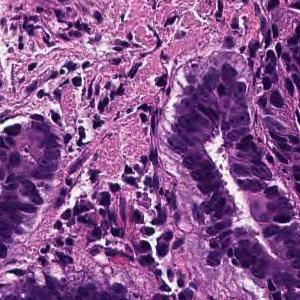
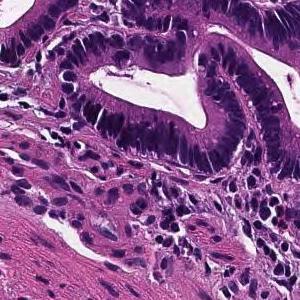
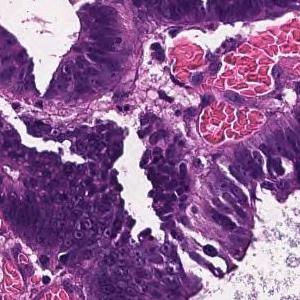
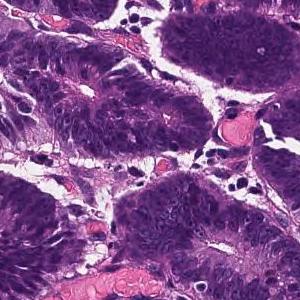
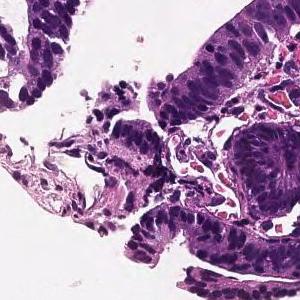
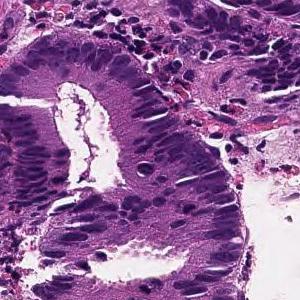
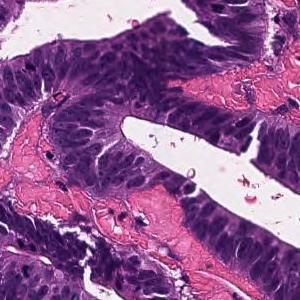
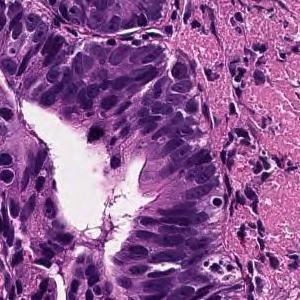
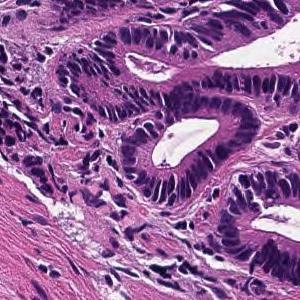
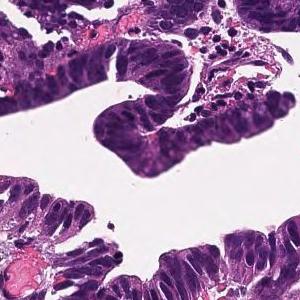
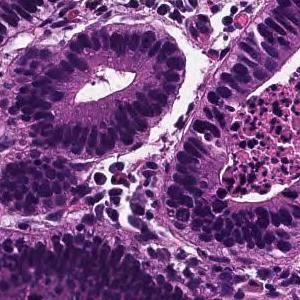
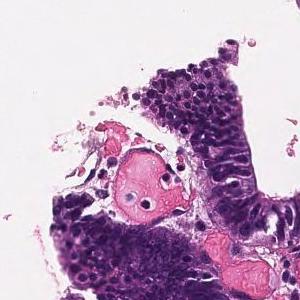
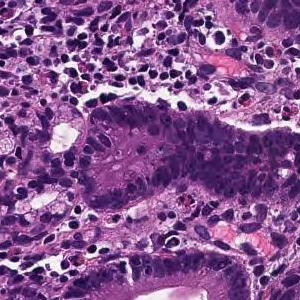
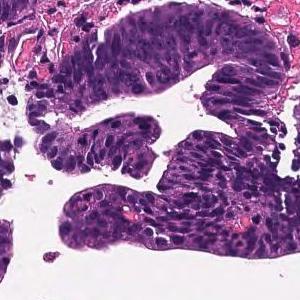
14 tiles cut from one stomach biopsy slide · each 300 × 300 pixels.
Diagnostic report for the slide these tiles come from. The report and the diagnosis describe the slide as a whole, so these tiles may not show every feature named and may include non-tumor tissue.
Tumor tissue consisting of large papillary structures is found in the superficial epithelium. Papillary adenocarcinoma.
